×20, 4 tiles cut from one stomach biopsy slide.
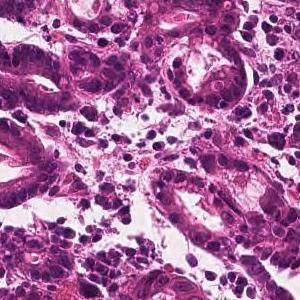
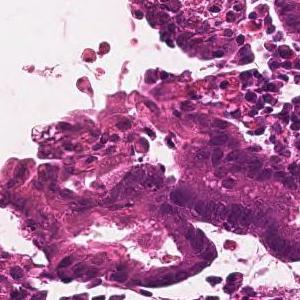
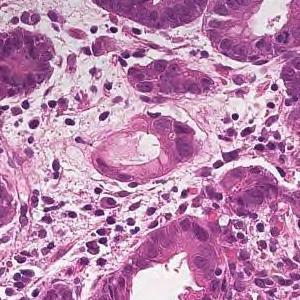
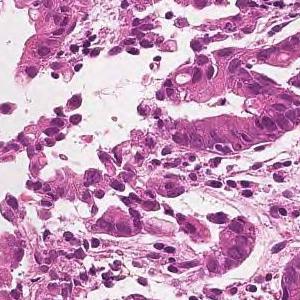
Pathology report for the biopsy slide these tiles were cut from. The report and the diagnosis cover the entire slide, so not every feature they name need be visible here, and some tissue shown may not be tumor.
From the superficial epithelium to the muscularis mucosae, tumor tissue consisting of medium-sized and irregular glandular ducts infiltrating is observed. Well differentiated tubular adenocarcinoma
